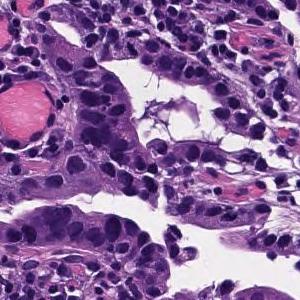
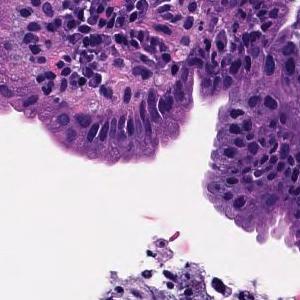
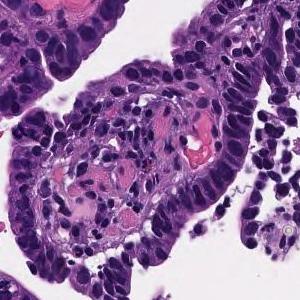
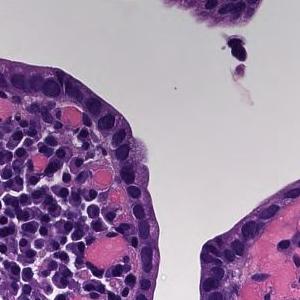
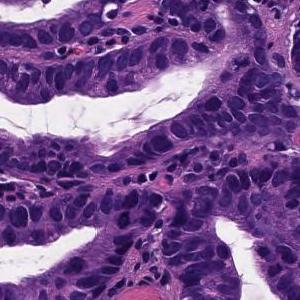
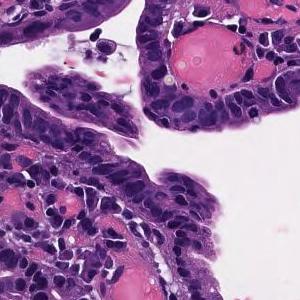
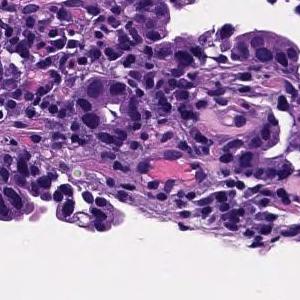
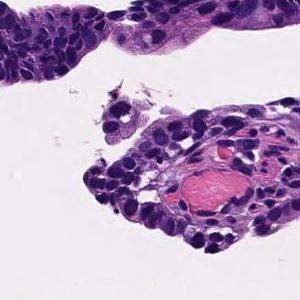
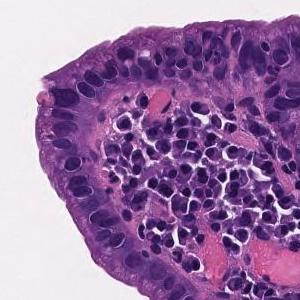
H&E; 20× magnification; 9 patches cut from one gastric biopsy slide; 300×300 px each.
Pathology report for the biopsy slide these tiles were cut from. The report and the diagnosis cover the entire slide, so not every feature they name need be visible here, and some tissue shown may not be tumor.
From the superficial epithelium to the muscularis mucosae, tumor tissue consisting of medium-sized and irregular glandular ducts infiltrating is observed. Well differentiated tubular adenocarcinoma
